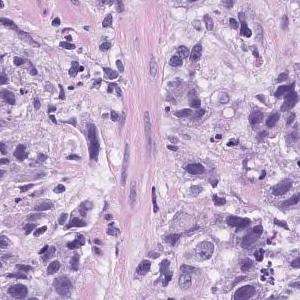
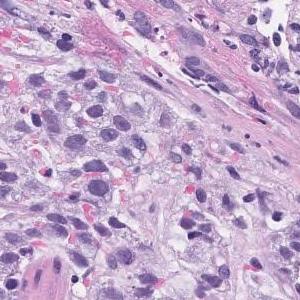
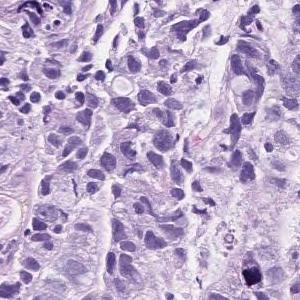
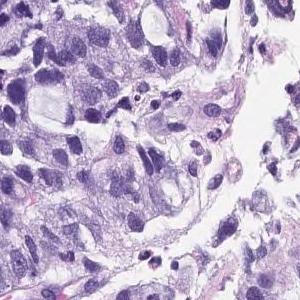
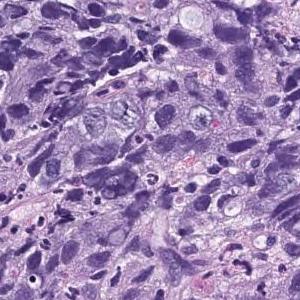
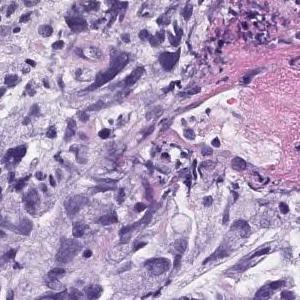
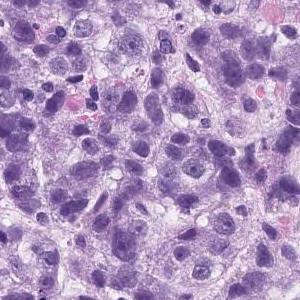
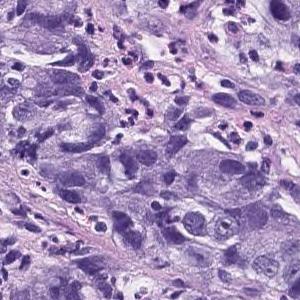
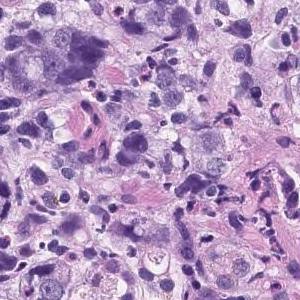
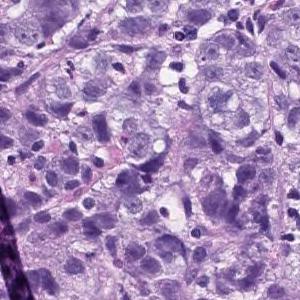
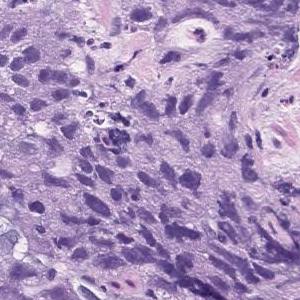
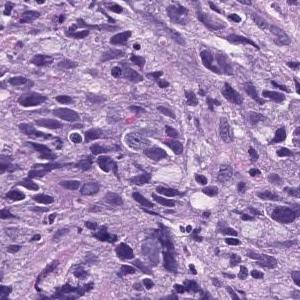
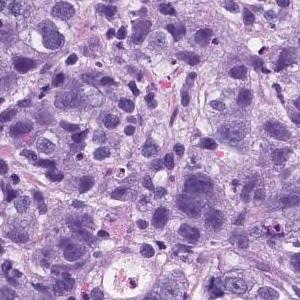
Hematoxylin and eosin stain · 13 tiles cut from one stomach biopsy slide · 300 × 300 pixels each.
Report on the slide these tiles come from. The report and the diagnosis describe the slide as a whole, so these tiles may not show every feature named and may include non-tumor tissue.
Atypical l cells with atypical nuclei forming solid vesicles or small irregular atypical ducts that proliferate in a complex manner. poorly differentiated adenocarcinoma, solid type, moderately differentiated tubular adenocarcinoma
"Solid type" is a category of the Japanese Classification of Gastric Carcinoma; in the WHO 2019 classification it is tubular adenocarcinoma, poorly differentiated.
